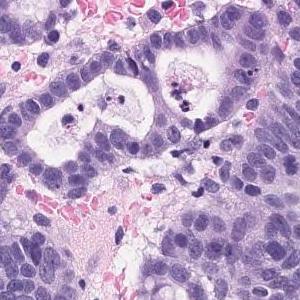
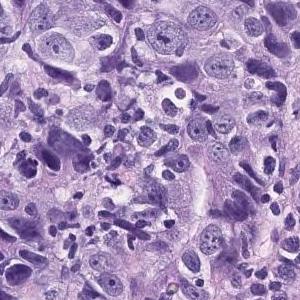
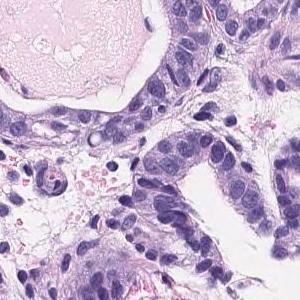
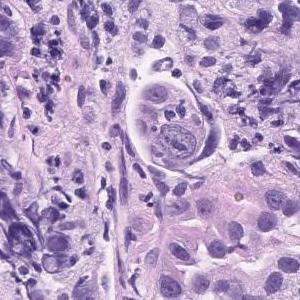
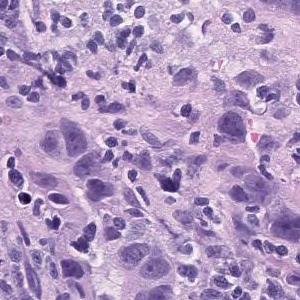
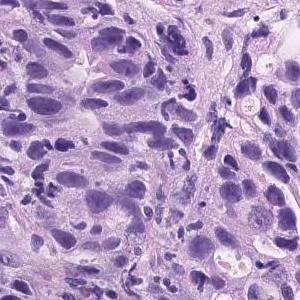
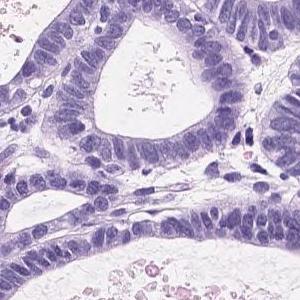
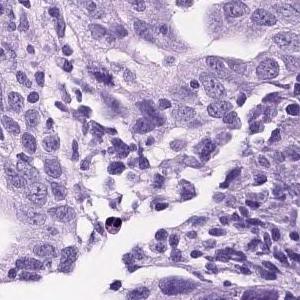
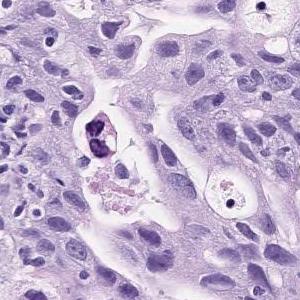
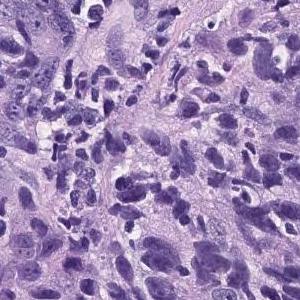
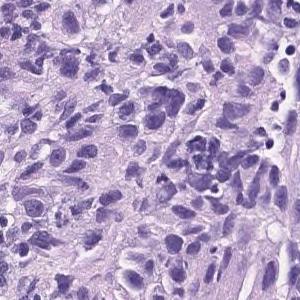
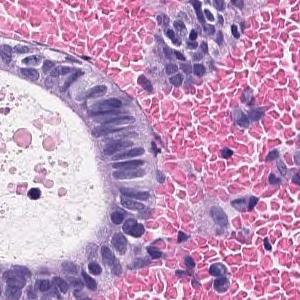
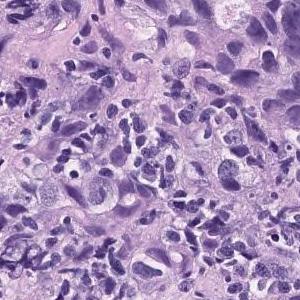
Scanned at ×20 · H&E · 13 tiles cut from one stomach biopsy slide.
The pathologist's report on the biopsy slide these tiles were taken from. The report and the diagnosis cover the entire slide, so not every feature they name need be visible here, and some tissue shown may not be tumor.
The superficial epithelium shows a large sheet-like shape, and some tumor tissue infiltrates with small irregular ducts. Poorly differentiated adenocarcinoma, solid-type
Classified as poorly differentiated adenocarcinoma, solid type. This name comes from the Japanese Classification of Gastric Carcinoma; the WHO 2019 classification calls it tubular adenocarcinoma, poorly differentiated.
